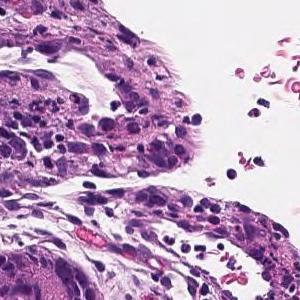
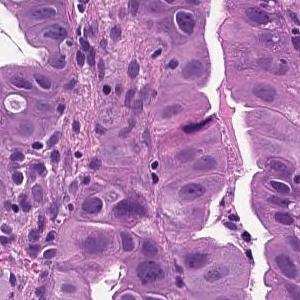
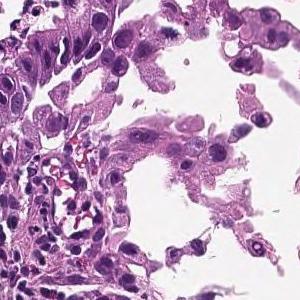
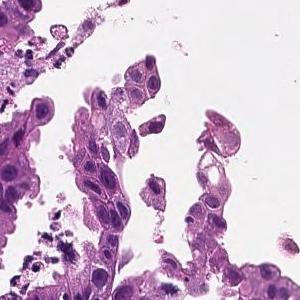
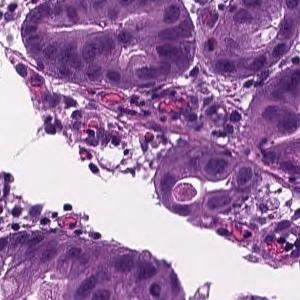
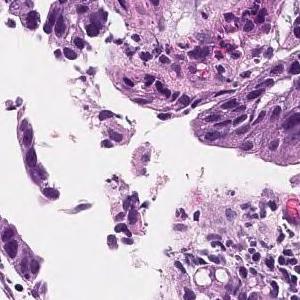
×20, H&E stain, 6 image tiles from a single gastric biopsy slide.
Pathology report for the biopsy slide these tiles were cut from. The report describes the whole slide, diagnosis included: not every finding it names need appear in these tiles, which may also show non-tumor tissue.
On the superficial epithelium, tumor tissue that infiltrates by forming medium-sized papillary or small irregular ducts is observed. Papillary adenocarcinoma
